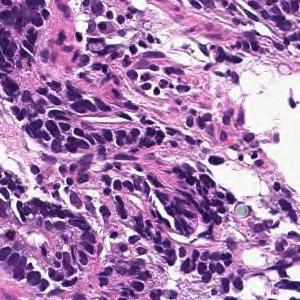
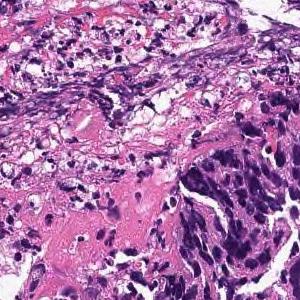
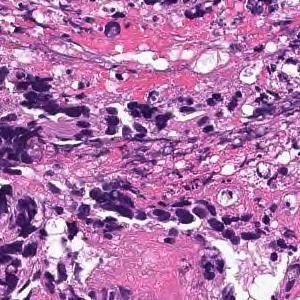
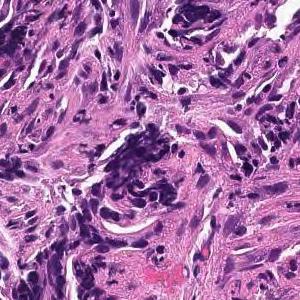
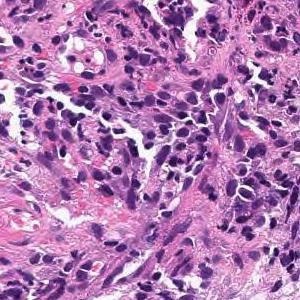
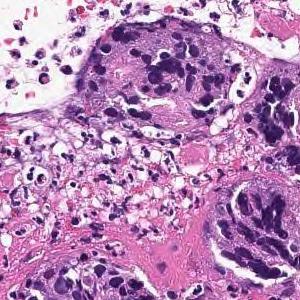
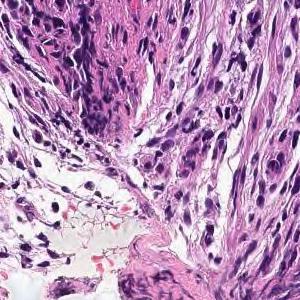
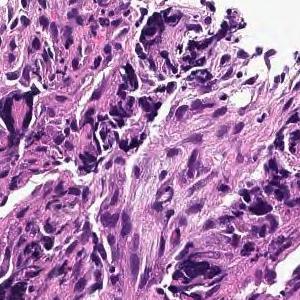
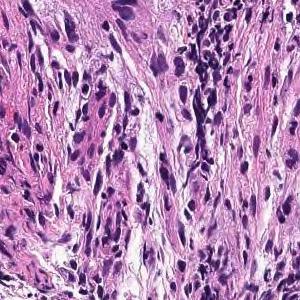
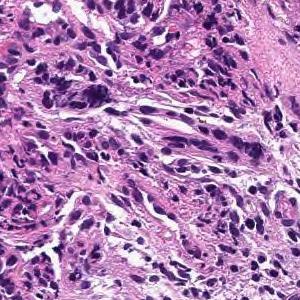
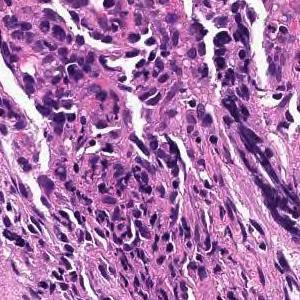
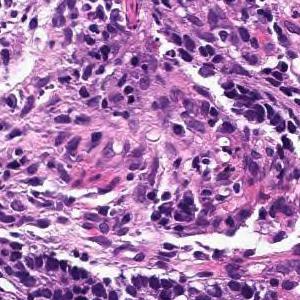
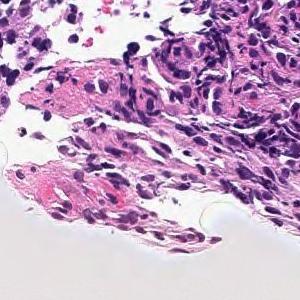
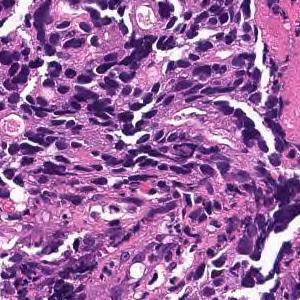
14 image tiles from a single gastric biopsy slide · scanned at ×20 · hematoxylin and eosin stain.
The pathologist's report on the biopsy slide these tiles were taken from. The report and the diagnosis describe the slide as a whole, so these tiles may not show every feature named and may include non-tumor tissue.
Tumor tissue consisting of medium-sized, cord-like or irregular glandular infiltration is observed in the superficial epithelium. Poorly differentiated adenocarcinoma, non-solid type or moderately differentiated tubular adenocarcinoma
Histologic type: Moderately to poorly differentiated adenocarcinoma.
The term "non-solid type" comes from the Japanese Classification of Gastric Carcinoma.
